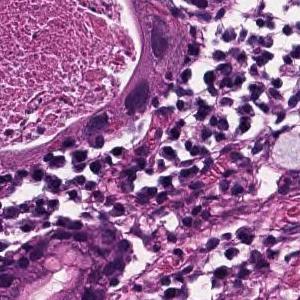
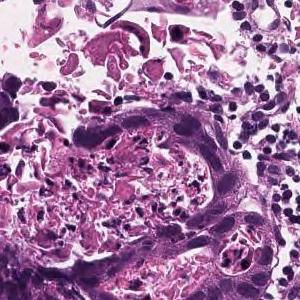
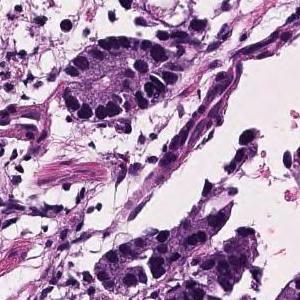
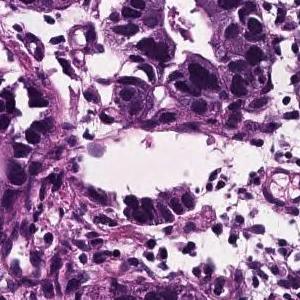
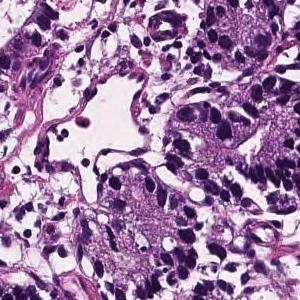
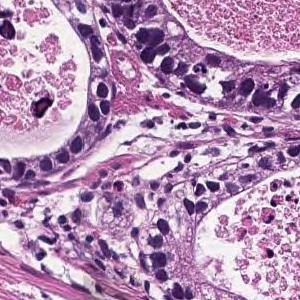
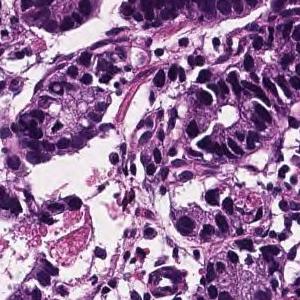
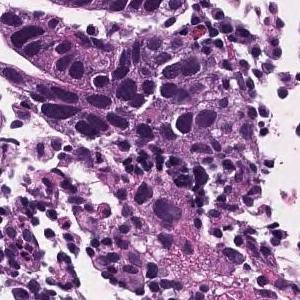
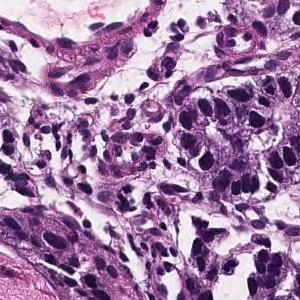
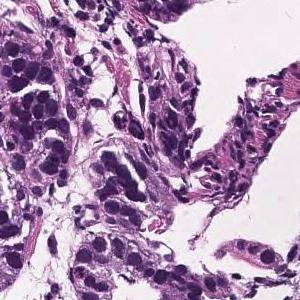
×20; 10 patches cut from one gastric biopsy slide; each 300 × 300 pixels.
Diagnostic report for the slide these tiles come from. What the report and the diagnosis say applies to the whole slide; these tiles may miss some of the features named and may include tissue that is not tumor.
In the superficial epithelium, tumor tissue that invades by forming medium-sized to small, irregular ducts is observed. Well differentiated tubular adenocarcinoma.
